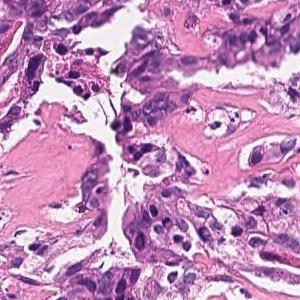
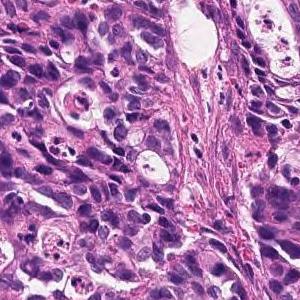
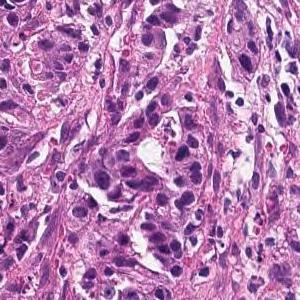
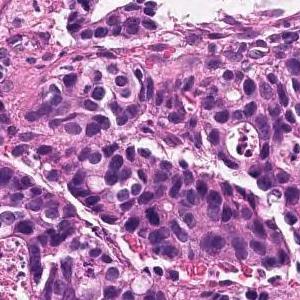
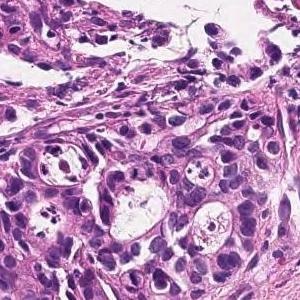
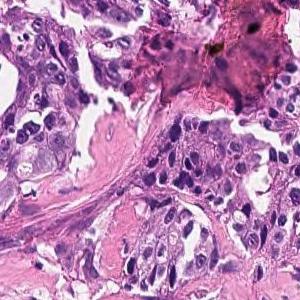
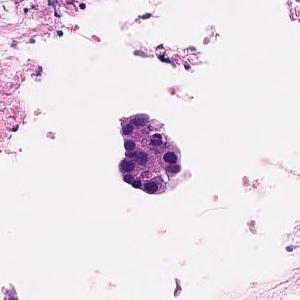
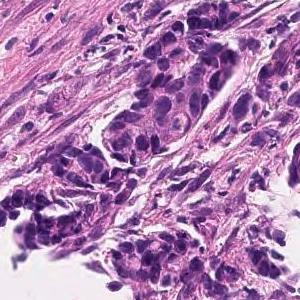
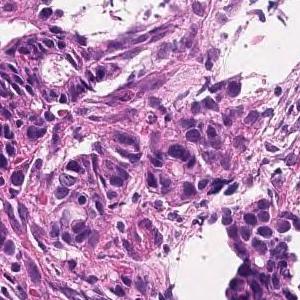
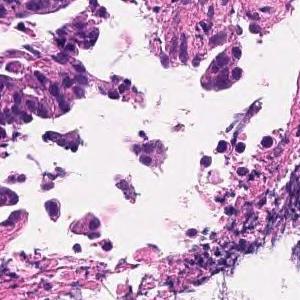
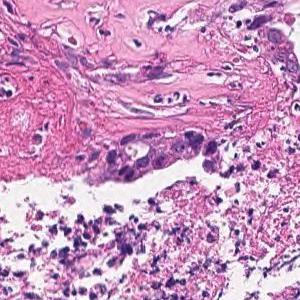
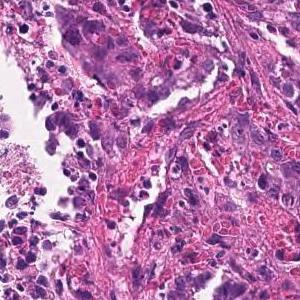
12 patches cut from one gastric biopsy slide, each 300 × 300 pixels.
Pathology report for the slide these tiles were cut from. The report and the diagnosis describe the slide as a whole, so these tiles may not show every feature named and may include non-tumor tissue.
On the superficial epithelium, tumor tissue consisting of images of small to medium-sized and irregular tubules infiltrating with irregular fusion is observed. moderately differentiated tubular adenocarcinoma
